16 patches cut from one gastric biopsy slide · 300×300 px each · H&E · ×20.
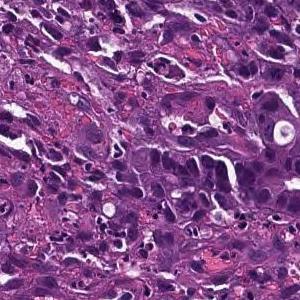
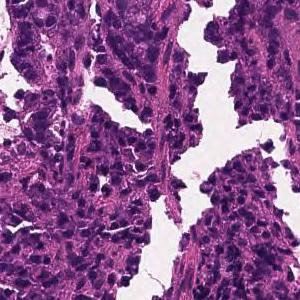
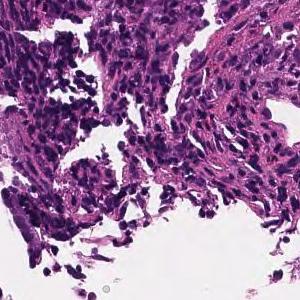
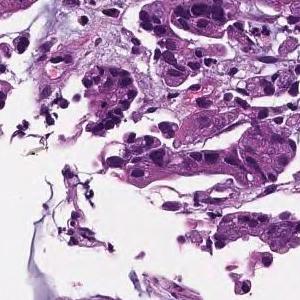
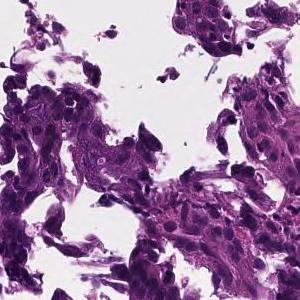
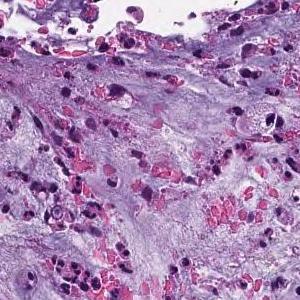
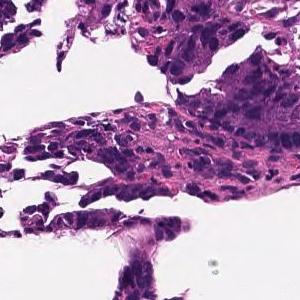
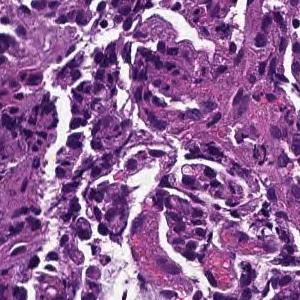
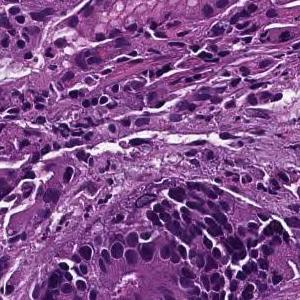
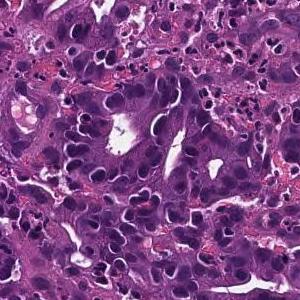
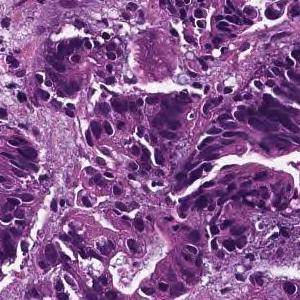
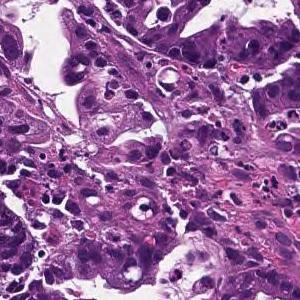
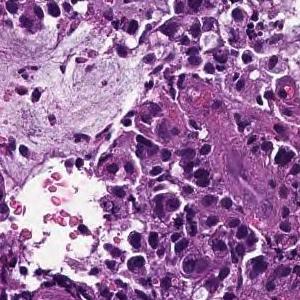
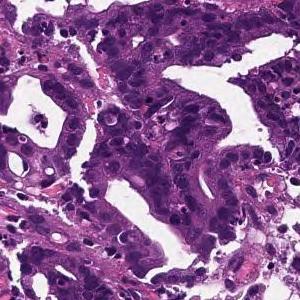
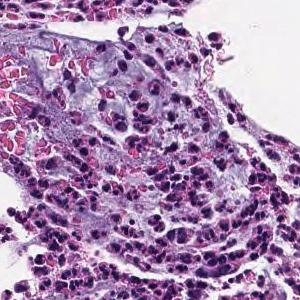
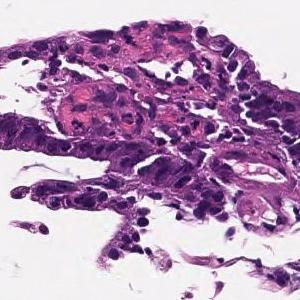
Pathology report for the slide these tiles were cut from. The report and the diagnosis describe the slide as a whole, so these tiles may not show every feature named and may include non-tumor tissue.
On the superficial epithelium, tumor tissue consisting of large irregular glandular ducts partially fused and infiltrated is observed. Well to moderately differentiated tubular adenocarcinoma (well differentiated tubular adenocarcinoma, moderately differentiated tubular adenocarcinoma)
Histological subtype: Well to moderately differentiated tubular adenocarcinoma.
